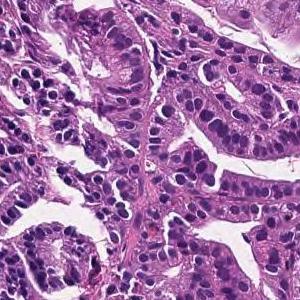
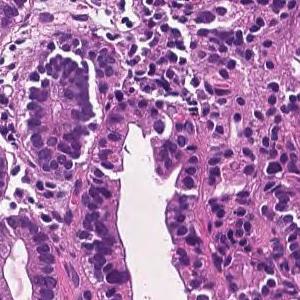
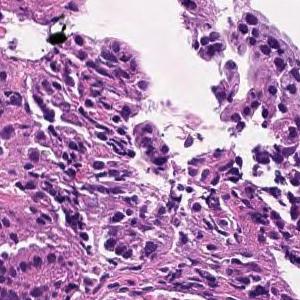
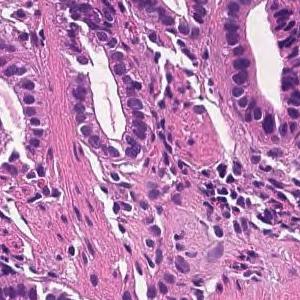
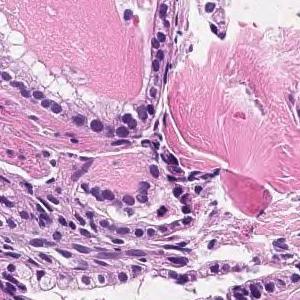
×20, 5 patches cut from one gastric biopsy slide.
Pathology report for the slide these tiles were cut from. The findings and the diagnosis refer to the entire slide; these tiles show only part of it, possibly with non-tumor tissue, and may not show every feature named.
On the superficial epithelium, tumor tissue that infiltrates by forming medium-sized papillary or small irregular ducts is observed. Papillary adenocarcinoma (Papillary adenocarcinoma)
Subtype: Papillary adenocarcinoma.
